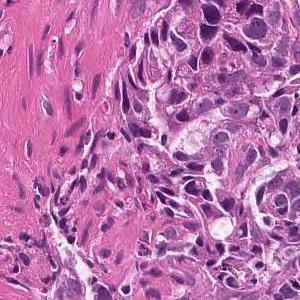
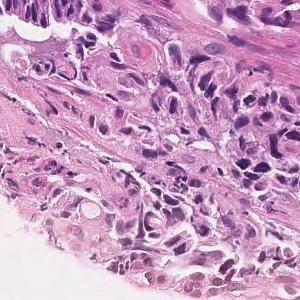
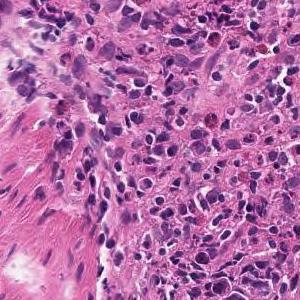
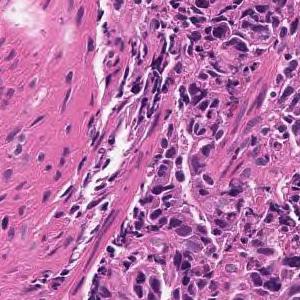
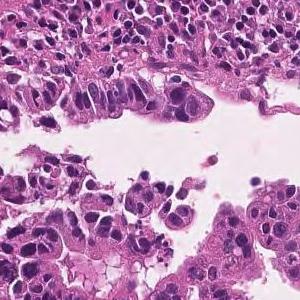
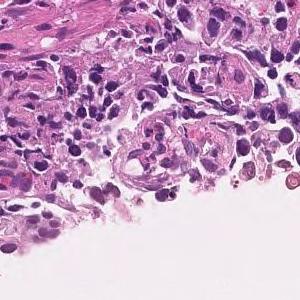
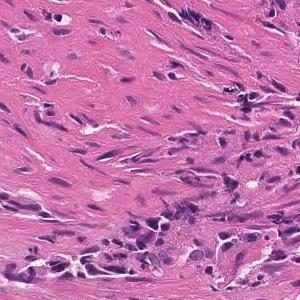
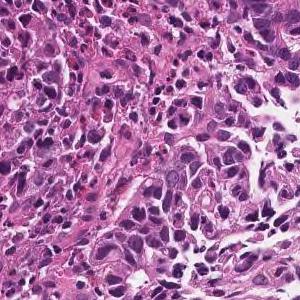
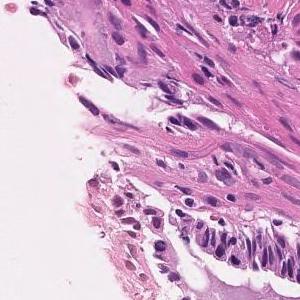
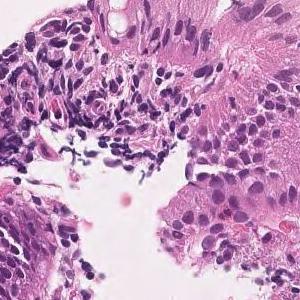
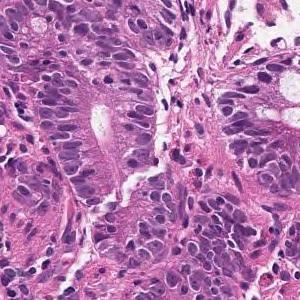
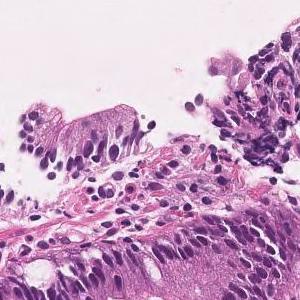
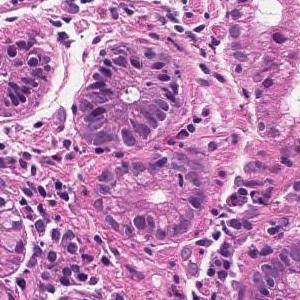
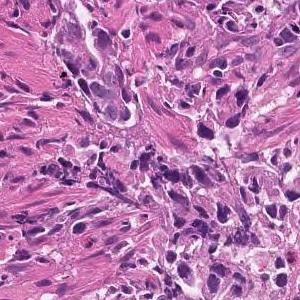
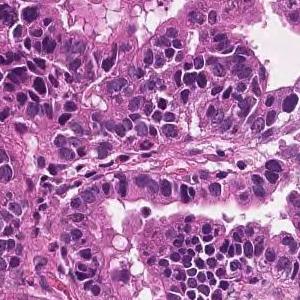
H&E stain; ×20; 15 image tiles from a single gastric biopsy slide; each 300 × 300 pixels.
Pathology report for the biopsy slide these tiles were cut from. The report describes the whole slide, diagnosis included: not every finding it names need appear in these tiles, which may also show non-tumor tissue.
Medium to small, irregular glandular ducts are formed in the superficial epithelium, and in some cases, the glandular ducts are fused to show solid alveolar lesions and infiltrating tumor tissue is observed. Moderately to poorly differentiated adenocarcinoma.
